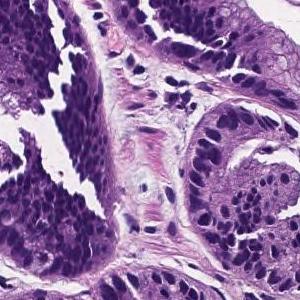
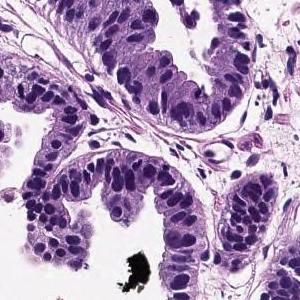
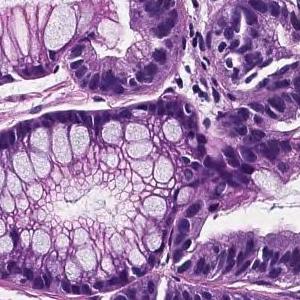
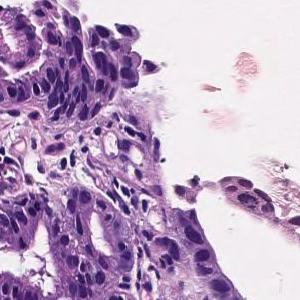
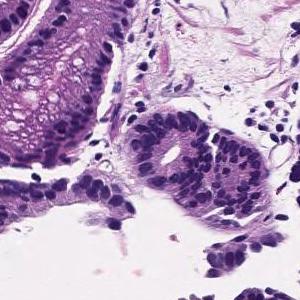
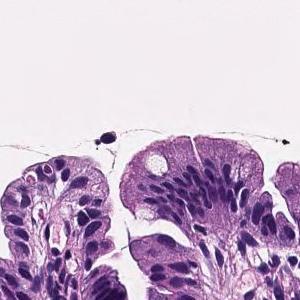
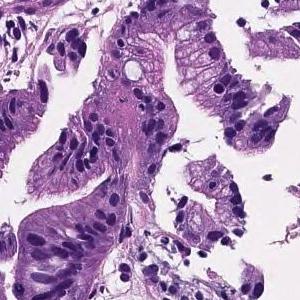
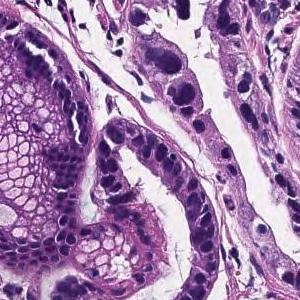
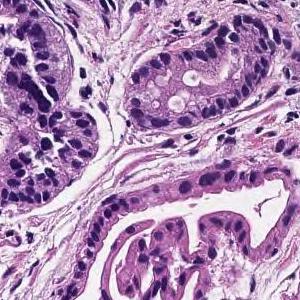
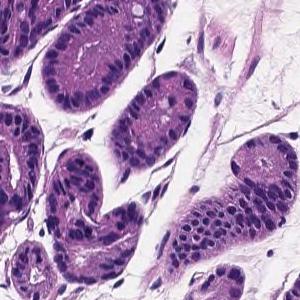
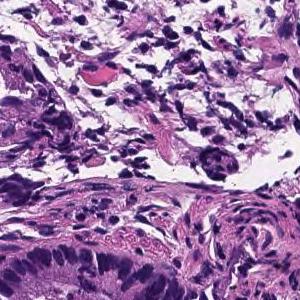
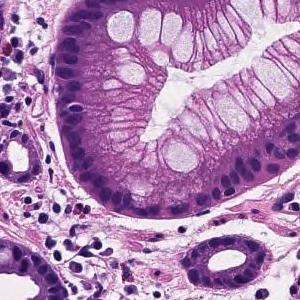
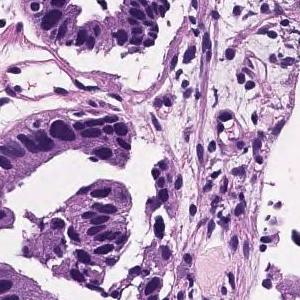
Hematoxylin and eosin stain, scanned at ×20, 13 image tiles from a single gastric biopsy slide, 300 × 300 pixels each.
The pathologist's report on the biopsy slide these tiles were taken from. What the report and the diagnosis say applies to the whole slide; these tiles may miss some of the features named and may include tissue that is not tumor.
Tumor cells are large, highly columnar, large club-shaped nuclei, and are associated with chromatin aggregation. Papillary adenocarcinoma.
